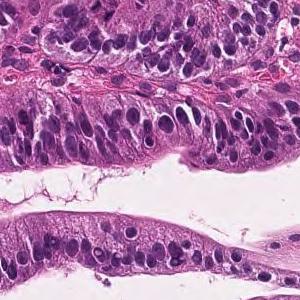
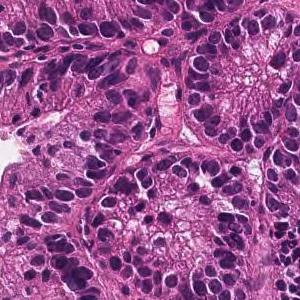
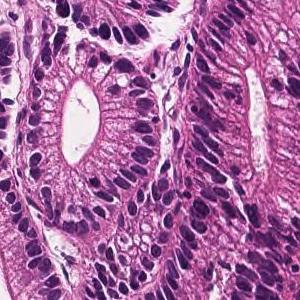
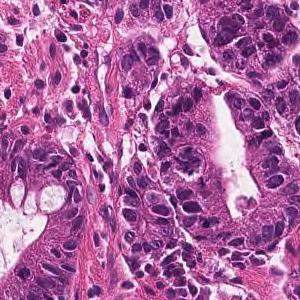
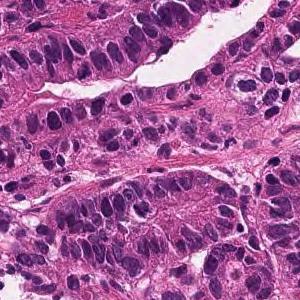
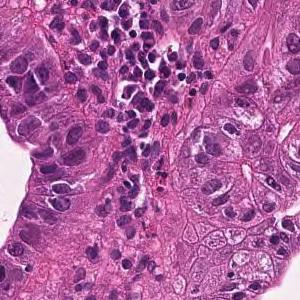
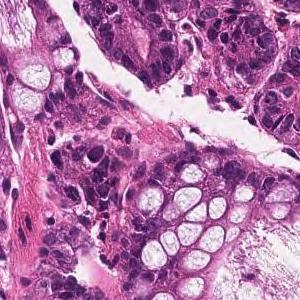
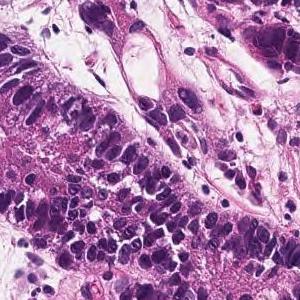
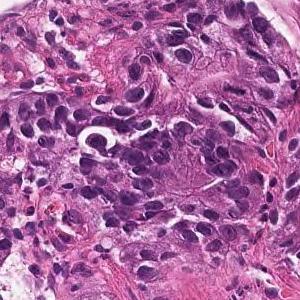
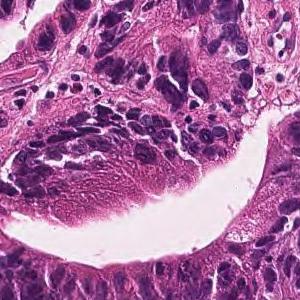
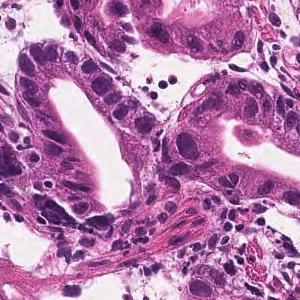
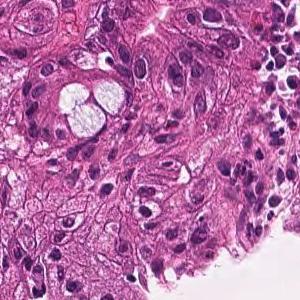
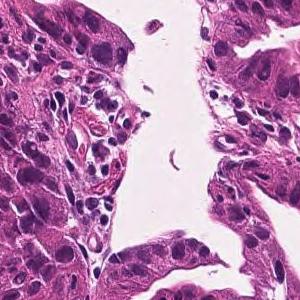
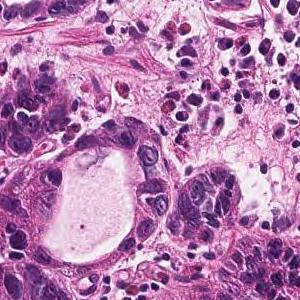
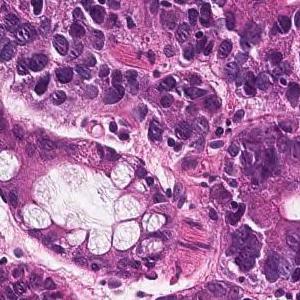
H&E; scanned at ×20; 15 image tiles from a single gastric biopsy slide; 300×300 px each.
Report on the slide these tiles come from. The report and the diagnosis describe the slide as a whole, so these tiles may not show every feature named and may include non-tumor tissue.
In the superficial epithelium, tumor tissue that invades by forming medium-sized to small, irregular ducts is observed. moderately differentiated tubular adenocarcinoma.
